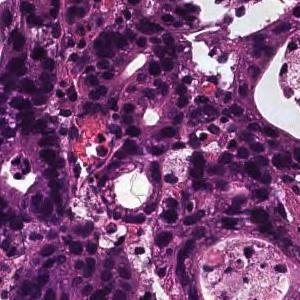
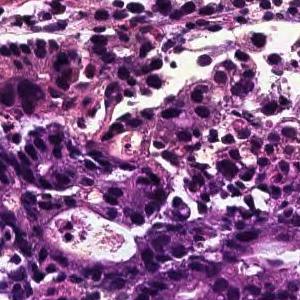
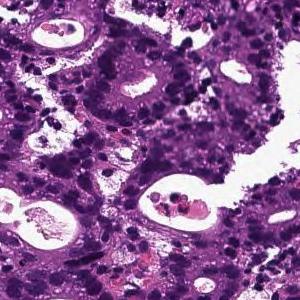
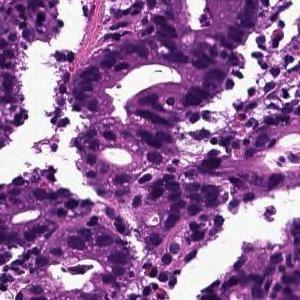
4 patches cut from one gastric biopsy slide, hematoxylin and eosin stain, ×20.
Pathology report for the biopsy slide these tiles were cut from. Both the report and the diagnosis are for the whole slide: these tiles need not show every feature named, and some of the tissue shown may not be tumor.
In the superficial epithelium, tumor tissue that invades by forming medium-sized to small, irregular ducts is observed. moderately differentiated tubular adenocarcinoma.
